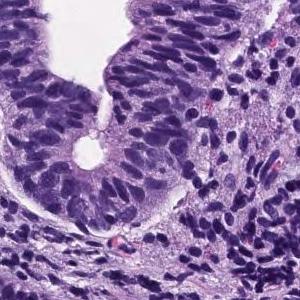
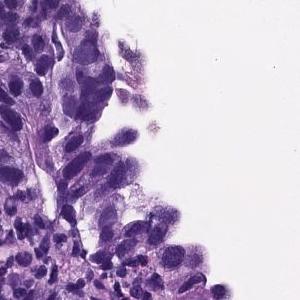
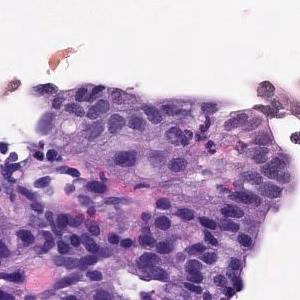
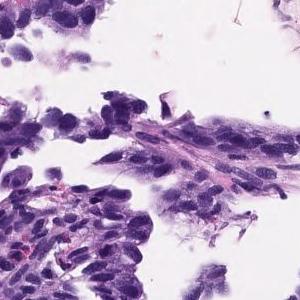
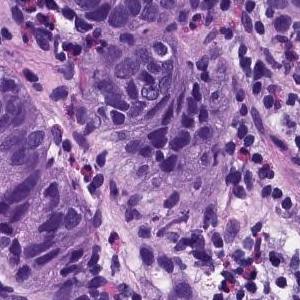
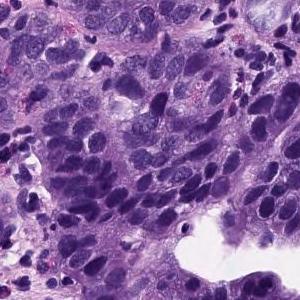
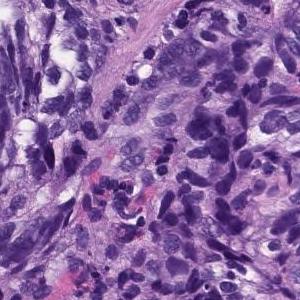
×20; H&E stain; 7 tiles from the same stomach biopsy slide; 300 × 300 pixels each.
Report on the slide these tiles come from. Both the report and the diagnosis are for the whole slide: these tiles need not show every feature named, and some of the tissue shown may not be tumor.
Atypical epithelial cells are proliferating to replace the foveolar epithelium is observed. Well differentiated tubular adenocarcinoma.
